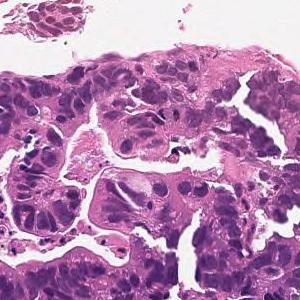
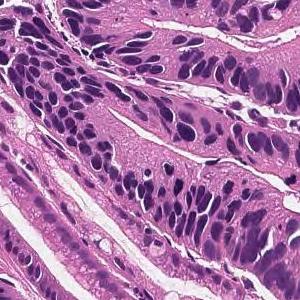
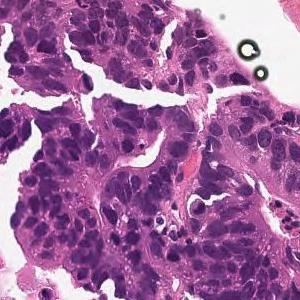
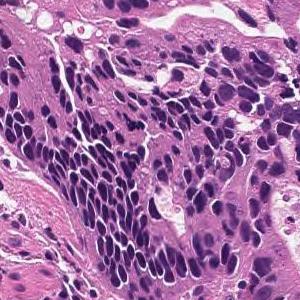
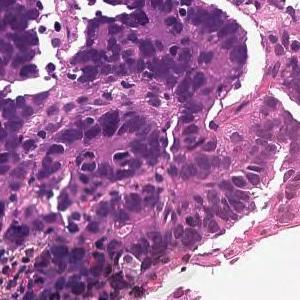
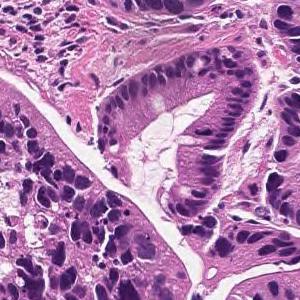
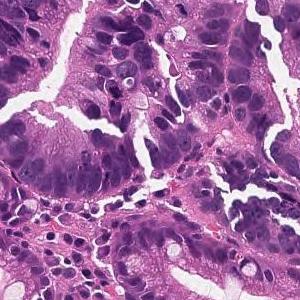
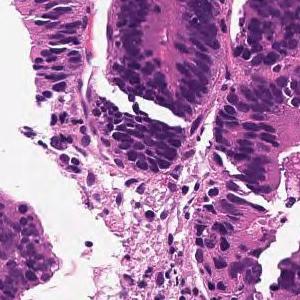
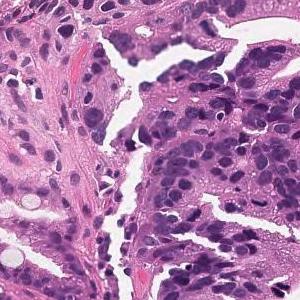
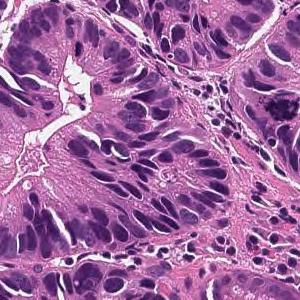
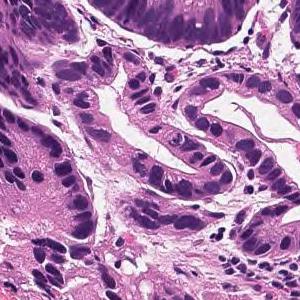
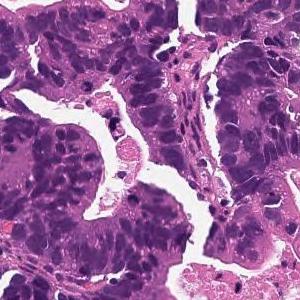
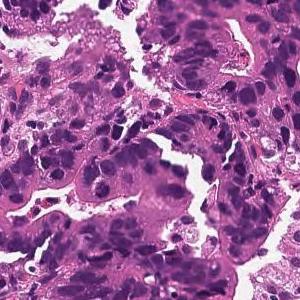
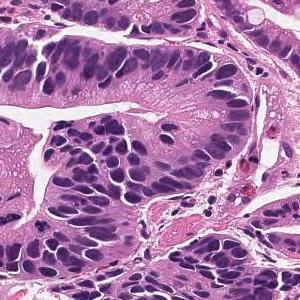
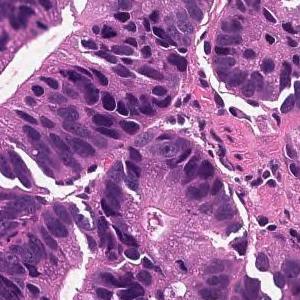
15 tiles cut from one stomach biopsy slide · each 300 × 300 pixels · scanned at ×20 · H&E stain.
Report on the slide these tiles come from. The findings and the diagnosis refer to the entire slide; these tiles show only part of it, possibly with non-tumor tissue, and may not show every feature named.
Tumor cells are large, highly columnar, large club-shaped nuclei, and are associated with chromatin aggregation. Papillary adenocarcinoma.
